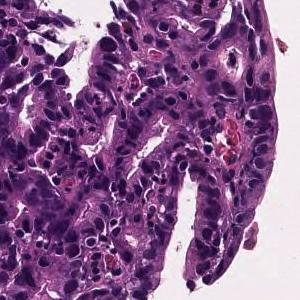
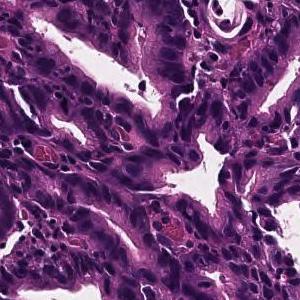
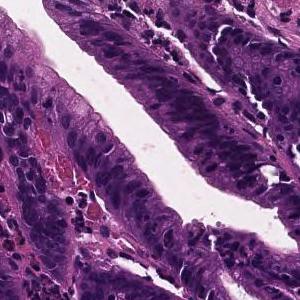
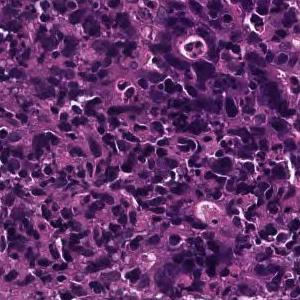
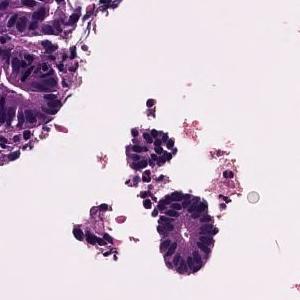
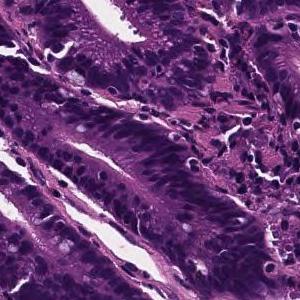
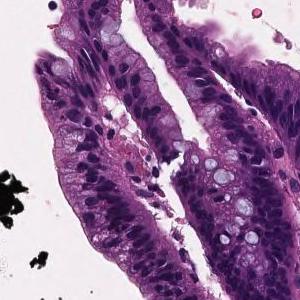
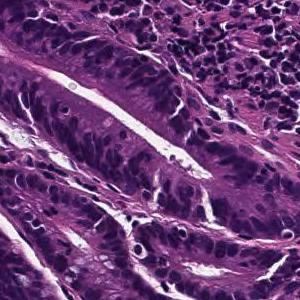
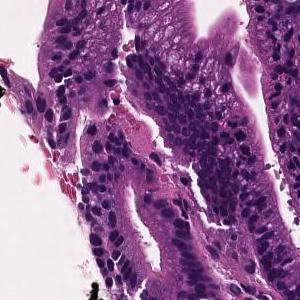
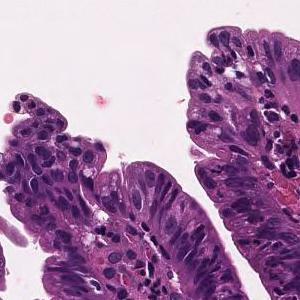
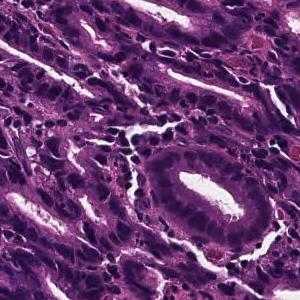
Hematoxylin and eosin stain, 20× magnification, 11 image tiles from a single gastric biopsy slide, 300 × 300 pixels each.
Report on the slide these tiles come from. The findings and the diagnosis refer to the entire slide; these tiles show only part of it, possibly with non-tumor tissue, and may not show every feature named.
On the superficial epithelium, tumor tissue consisting of medium-sized irregular glandular ducts partially fused and infiltrated is observed. Well to moderately differentiated tubular adenocarcinoma (well differentiated tubular adenocarcinoma-moderately differentiated tubular adenocarcinoma)
Tumor subtype: well to moderately differentiated tubular adenocarcinoma.
